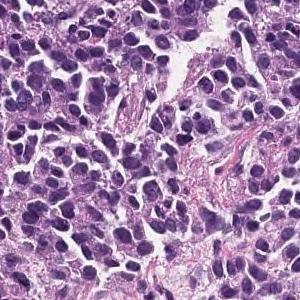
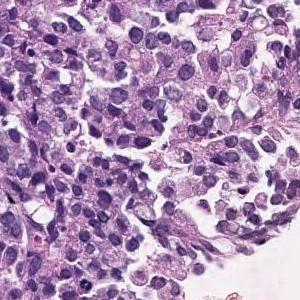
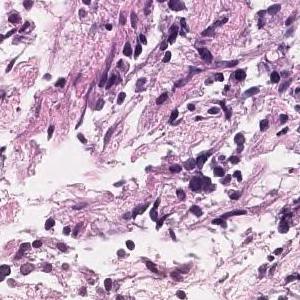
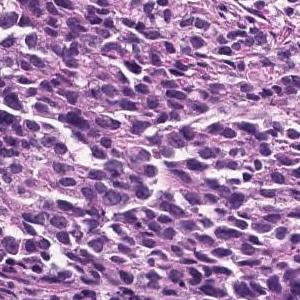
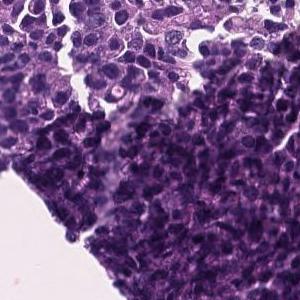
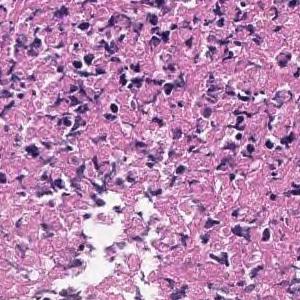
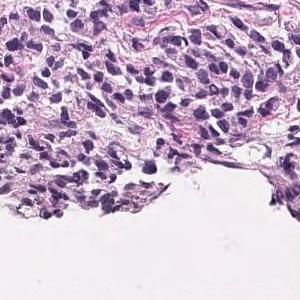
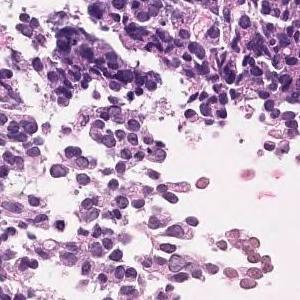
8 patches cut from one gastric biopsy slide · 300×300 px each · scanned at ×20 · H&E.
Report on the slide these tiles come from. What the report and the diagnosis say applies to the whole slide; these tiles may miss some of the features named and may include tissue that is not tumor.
The superficial epithelium shows a large sheet-like shape, and some tumor tissue infiltrates with small irregular ducts. Poorly differentiated adenocarcinoma, solid-type
Tumor subtype: poorly differentiated adenocarcinoma, solid type (Japanese Classification of Gastric Carcinoma). The WHO 2019 equivalent is tubular adenocarcinoma, poorly differentiated.
